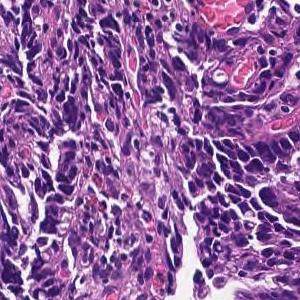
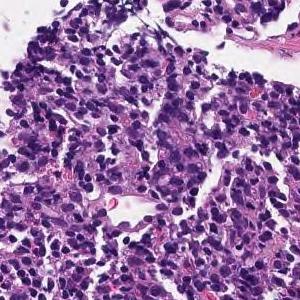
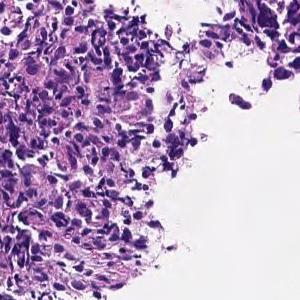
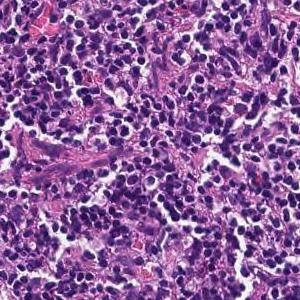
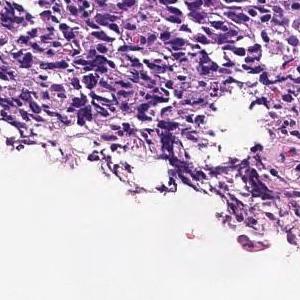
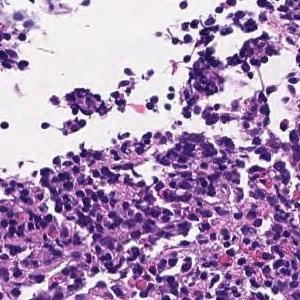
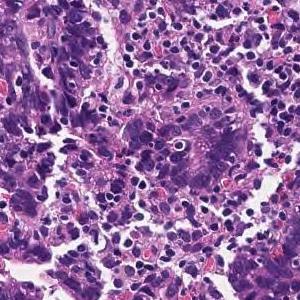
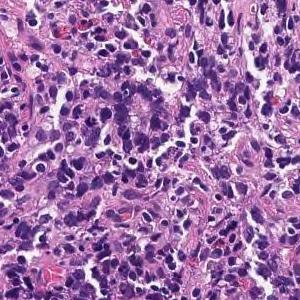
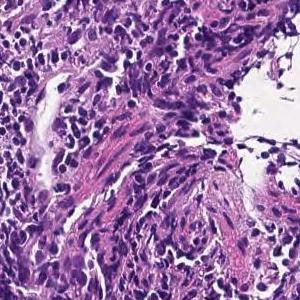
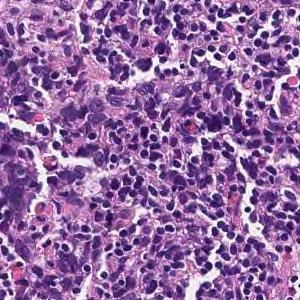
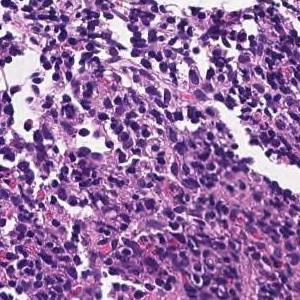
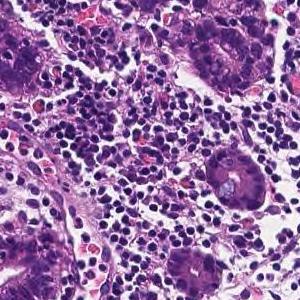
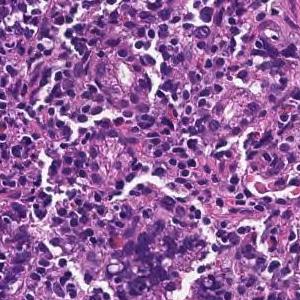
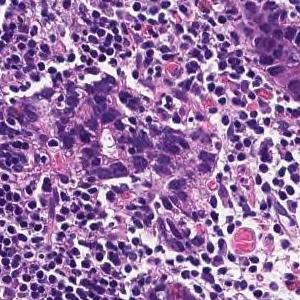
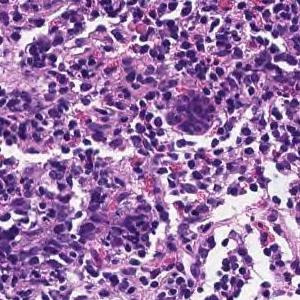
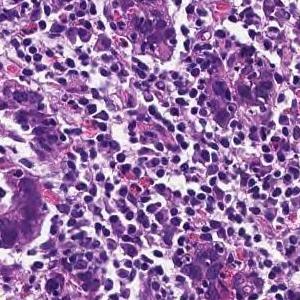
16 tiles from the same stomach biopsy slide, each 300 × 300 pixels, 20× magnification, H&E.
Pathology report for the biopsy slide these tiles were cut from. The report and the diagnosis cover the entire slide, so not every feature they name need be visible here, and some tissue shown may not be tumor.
Tumor tissue consisting of medium-sized, cord-like or irregular glandular infiltration is observed in the superficial epithelium. Poorly differentiated adenocarcinoma, non-solid type or moderately differentiated tubular adenocarcinoma
Classified as moderately to poorly differentiated adenocarcinoma.
The term "non-solid type" comes from the Japanese Classification of Gastric Carcinoma.
